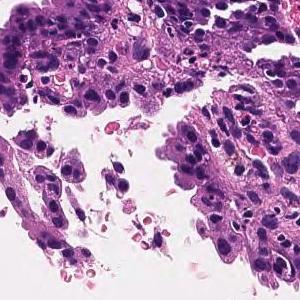
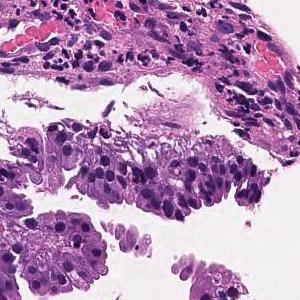
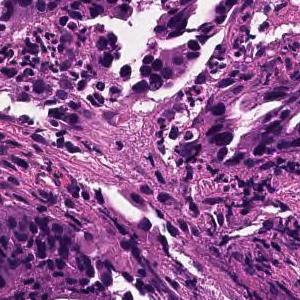
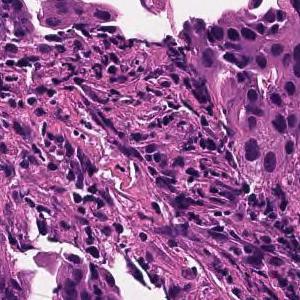
Hematoxylin and eosin stain · scanned at ×20 · 4 tiles from the same stomach biopsy slide · 300 × 300 pixels each.
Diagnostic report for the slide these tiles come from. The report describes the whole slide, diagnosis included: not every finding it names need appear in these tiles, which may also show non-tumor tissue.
On the superficial epithelium, tumor tissue consisting of large, irregular glandular ducts partially fused and infiltrated is observed. Well to moderately differentiated tubular adenocarcinoma (well differentiated tubular adenocarcinoma, moderately differentiated tubular adenocarcinoma)
Subtype: Well to moderately differentiated tubular adenocarcinoma.
